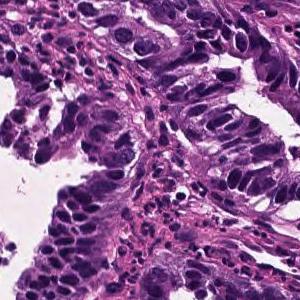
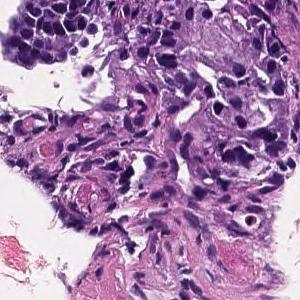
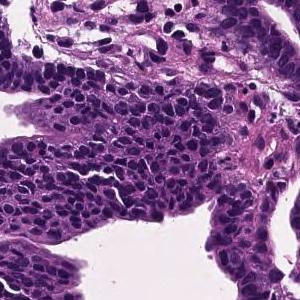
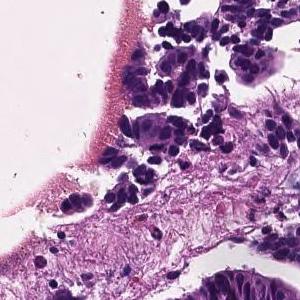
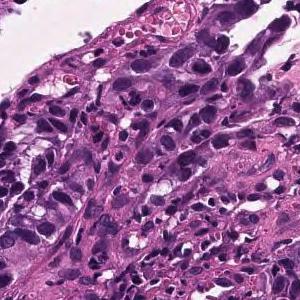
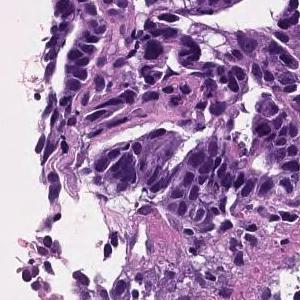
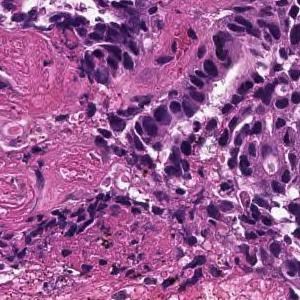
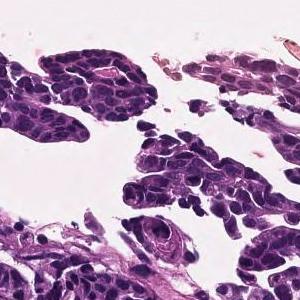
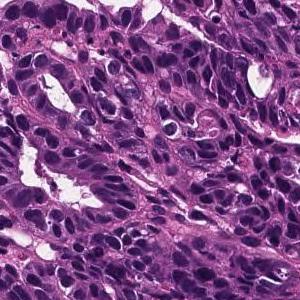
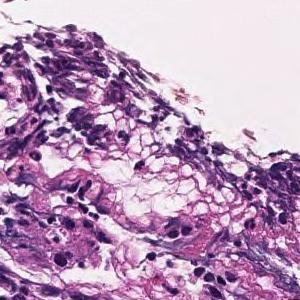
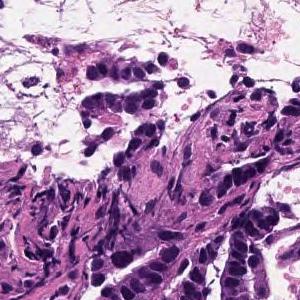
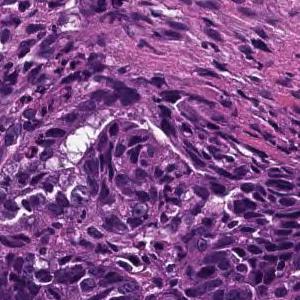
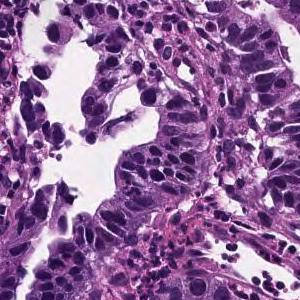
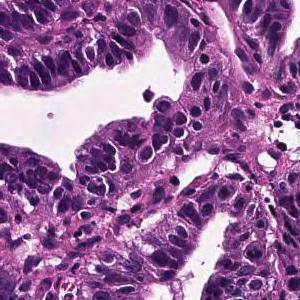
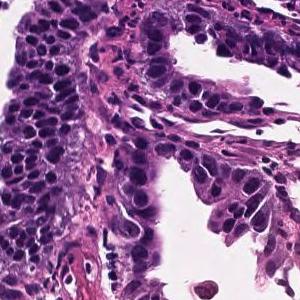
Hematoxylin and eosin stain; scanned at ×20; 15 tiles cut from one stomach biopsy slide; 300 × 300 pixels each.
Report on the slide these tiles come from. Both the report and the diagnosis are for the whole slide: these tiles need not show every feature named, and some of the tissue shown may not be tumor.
Tumor cells are large, highly columnar, large club-shaped nuclei, and are associated with chromatin aggregation. Papillary adenocarcinoma.
